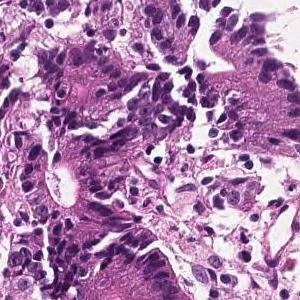
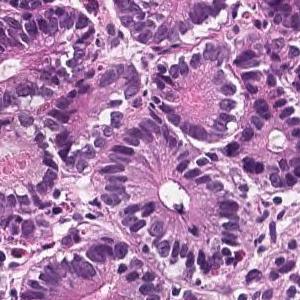
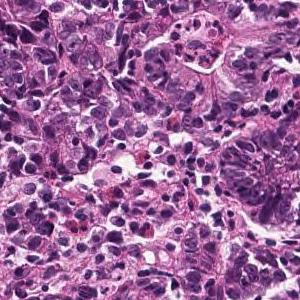
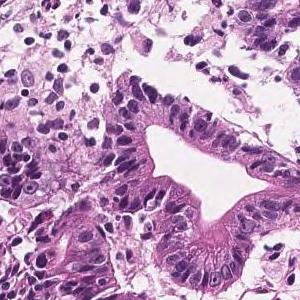
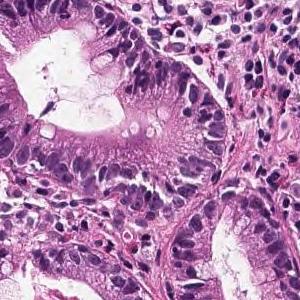
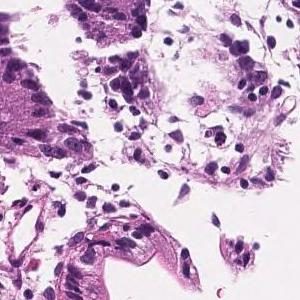
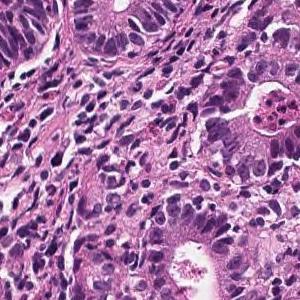
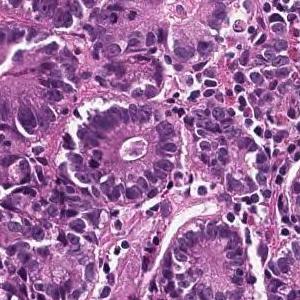
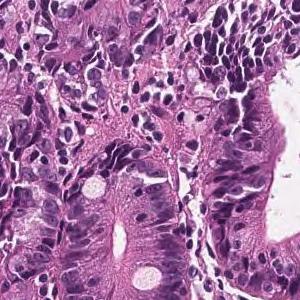
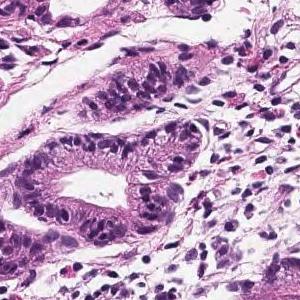
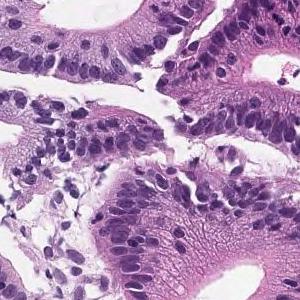
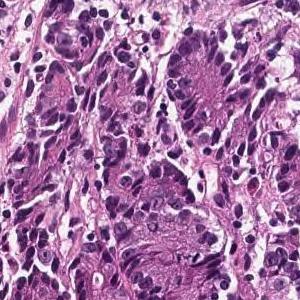
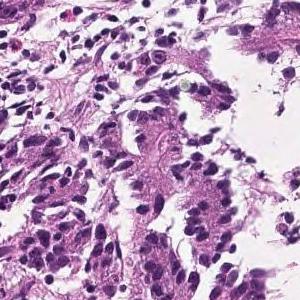
×20 · 13 image tiles from a single gastric biopsy slide · 300 × 300 pixels each.
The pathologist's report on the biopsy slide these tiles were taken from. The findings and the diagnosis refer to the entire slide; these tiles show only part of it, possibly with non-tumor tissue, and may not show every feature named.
In the superficial epithelium, tumor tissue that invades by forming medium-sized to small, irregular ducts is observed. Moderately differentiated adenocarcinoma.
Subtype: Moderately differentiated tubular adenocarcinoma.
